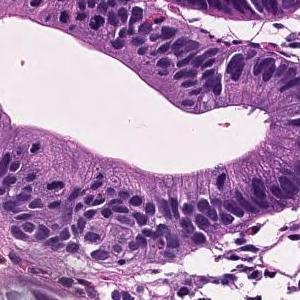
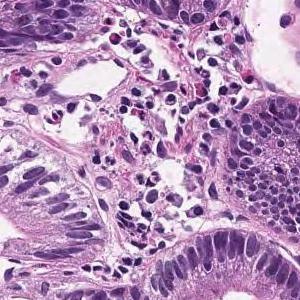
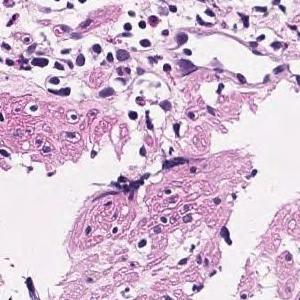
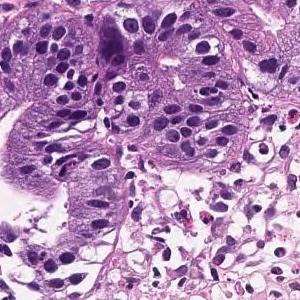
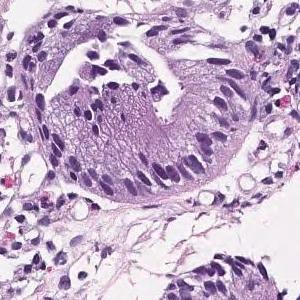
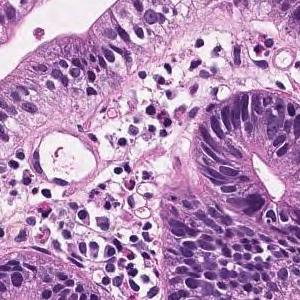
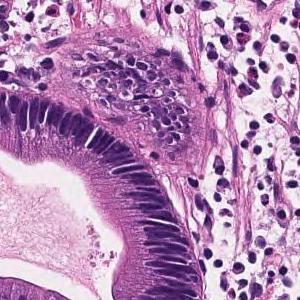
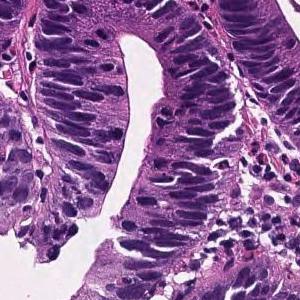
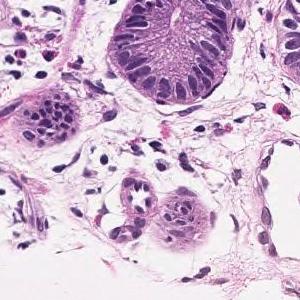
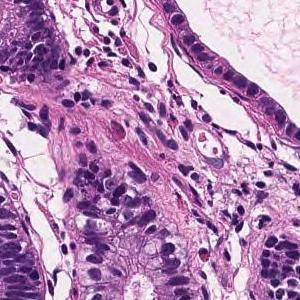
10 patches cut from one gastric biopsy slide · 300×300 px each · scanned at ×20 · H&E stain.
Diagnostic report for the slide these tiles come from. The report describes the whole slide, diagnosis included: not every finding it names need appear in these tiles, which may also show non-tumor tissue.
In the superficial epithelium, tumor tissue that invades by forming medium-sized to small, irregular ducts is observed. Well differentiated tubular adenocarcinoma.
